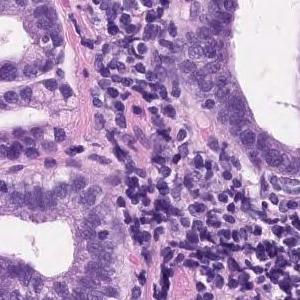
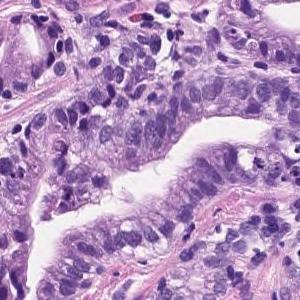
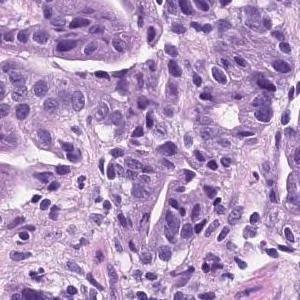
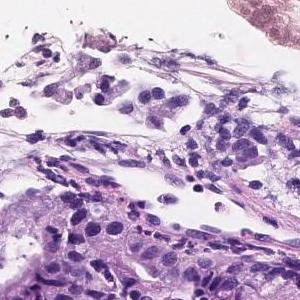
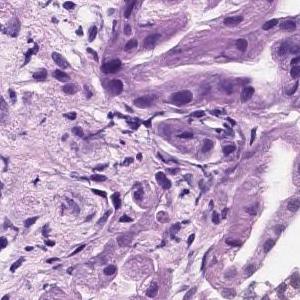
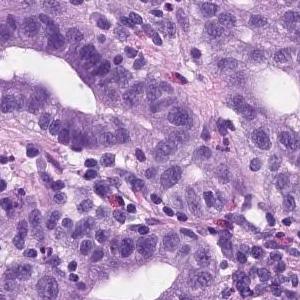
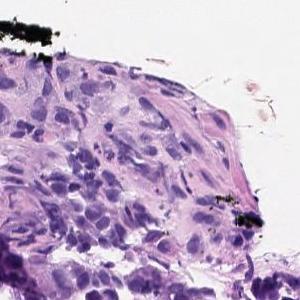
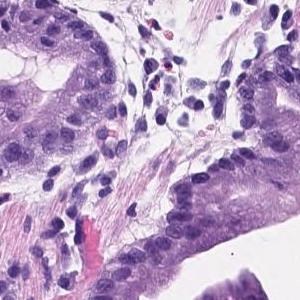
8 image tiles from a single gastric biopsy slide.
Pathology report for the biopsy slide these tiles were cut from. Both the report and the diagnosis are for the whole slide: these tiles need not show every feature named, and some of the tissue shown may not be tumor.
Tumor tissue consisting of medium-sized and irregular ducts is observed infiltrating in the superficial epithelium. Tumor cells are highly columnar, with nuclei aligned basolaterally and polarized. Well differentiated tubular adenocarcinoma.
